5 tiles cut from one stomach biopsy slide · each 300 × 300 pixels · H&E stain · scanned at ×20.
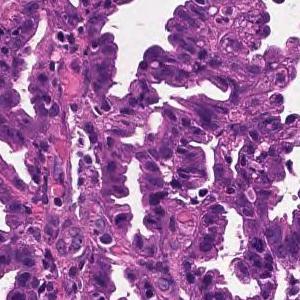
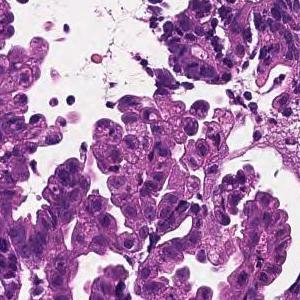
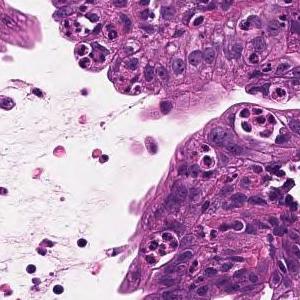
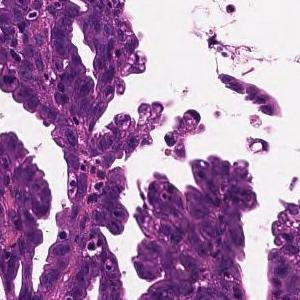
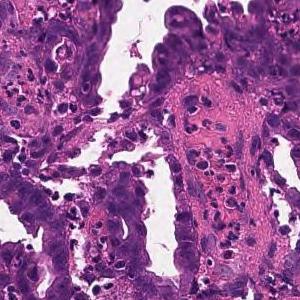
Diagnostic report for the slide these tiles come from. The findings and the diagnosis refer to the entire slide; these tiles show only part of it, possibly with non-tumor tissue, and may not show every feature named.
From the superficial epithelium to the muscularis mucosae, tumor tissue consisting of medium-sized and irregular glandular ducts infiltrating is observed. Well differentiated tubular adenocarcinoma
